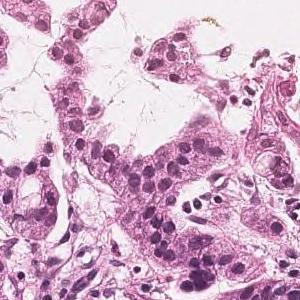
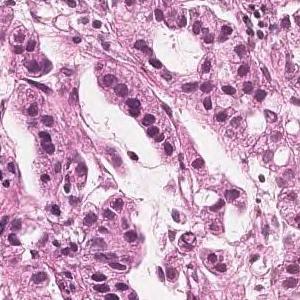
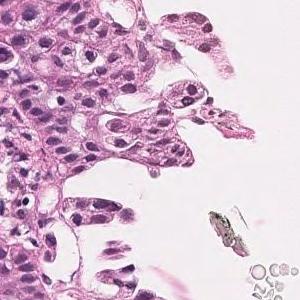
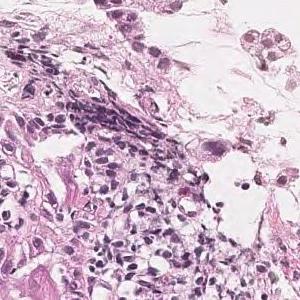
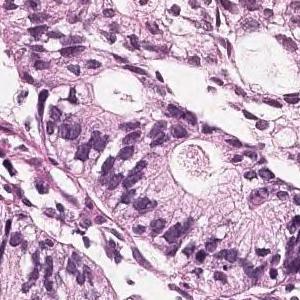
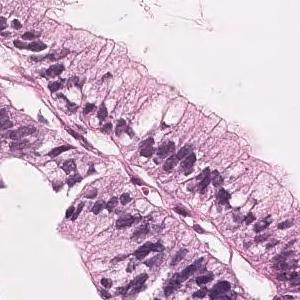
Hematoxylin and eosin stain; 6 tiles cut from one stomach biopsy slide.
Report on the slide these tiles come from. The report and the diagnosis describe the slide as a whole, so these tiles may not show every feature named and may include non-tumor tissue.
Tumor cells are large, highly columnar, large club-shaped nuclei, and are associated with chromatin aggregation. Papillary adenocarcinoma.
